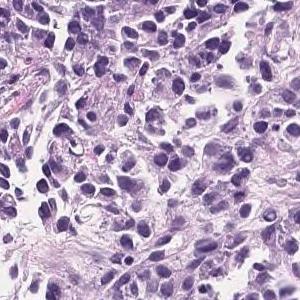
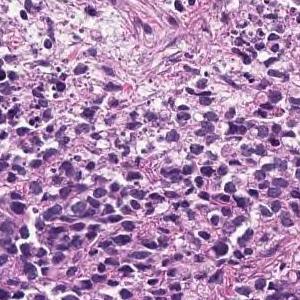
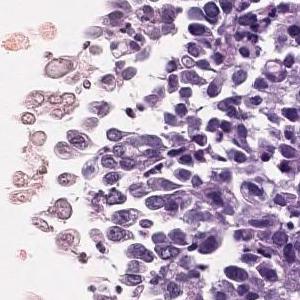
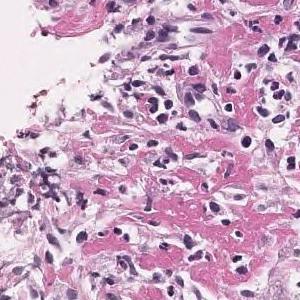
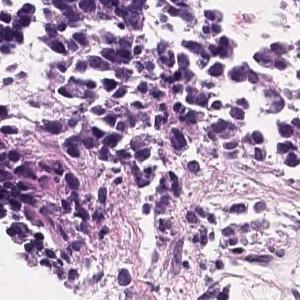
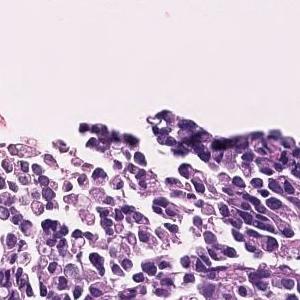
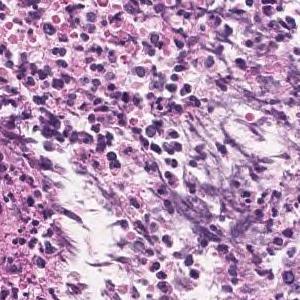
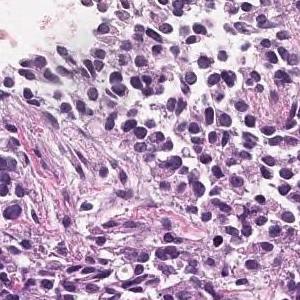
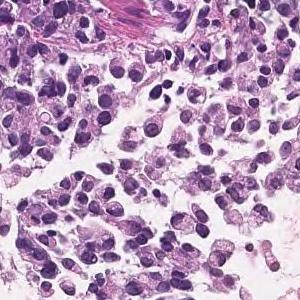
Hematoxylin and eosin stain; 9 image tiles from a single gastric biopsy slide.
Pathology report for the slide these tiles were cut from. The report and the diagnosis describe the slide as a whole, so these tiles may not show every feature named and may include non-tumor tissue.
The superficial epithelium shows a large sheet-like shape, and some tumor tissue infiltrates with small irregular ducts. Poorly differentiated adenocarcinoma, solid-type
Histologic type: Poorly differentiated adenocarcinoma, solid type (Japanese Classification of Gastric Carcinoma). The WHO 2019 equivalent is tubular adenocarcinoma, poorly differentiated.
